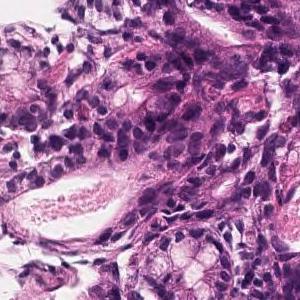
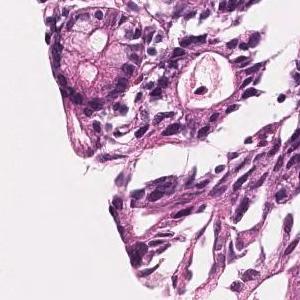
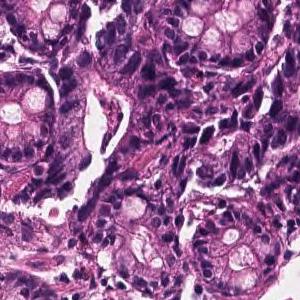
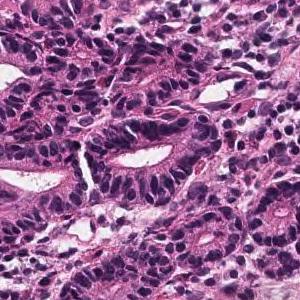
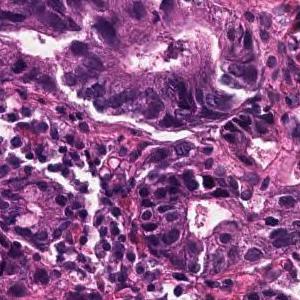
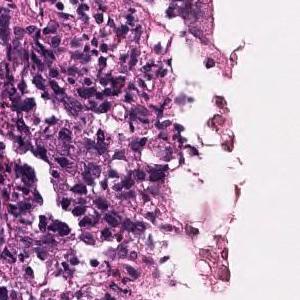
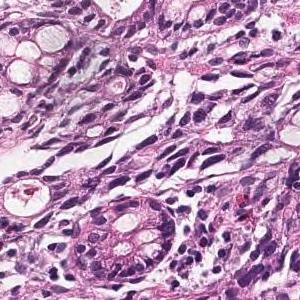
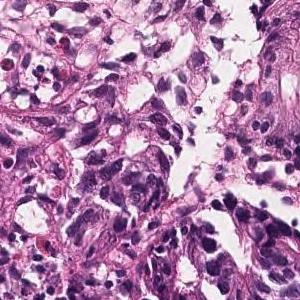
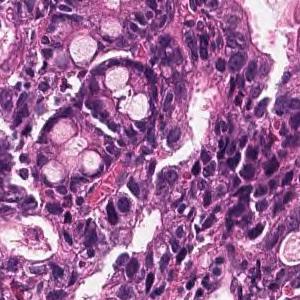
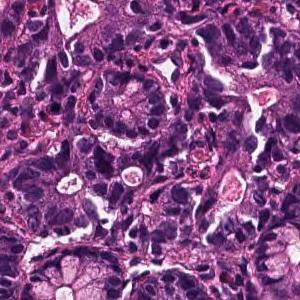
10 image tiles from a single gastric biopsy slide · H&E · scanned at ×20.
Pathology report for the biopsy slide these tiles were cut from. The report and the diagnosis describe the slide as a whole, so these tiles may not show every feature named and may include non-tumor tissue.
On the superficial epithelium, tumor tissue consisting of large, irregular glandular ducts partially fused and infiltrated is observed. Well to moderately differentiated tubular adenocarcinoma (well differentiated tubular adenocarcinoma, moderately differentiated tubular adenocarcinoma)
Histological subtype: Well to moderately differentiated tubular adenocarcinoma.
